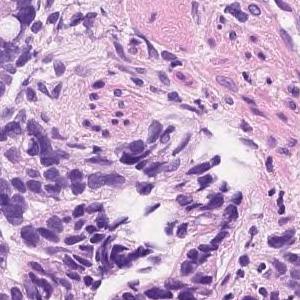
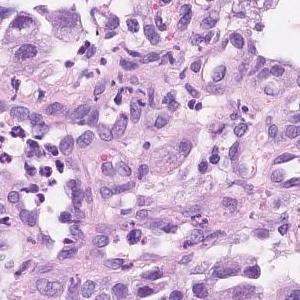
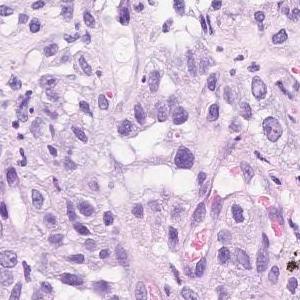
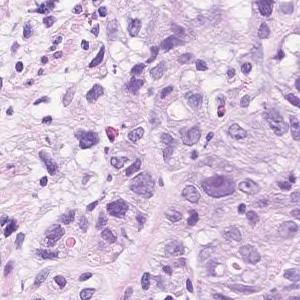
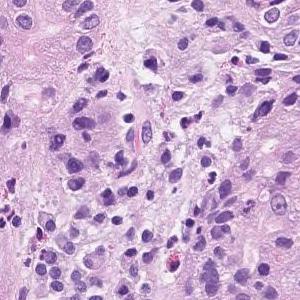
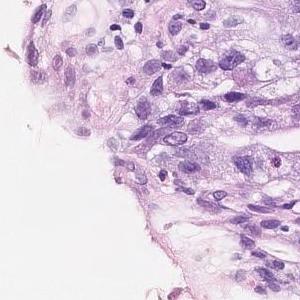
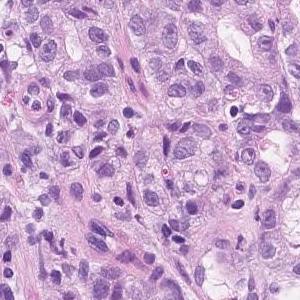
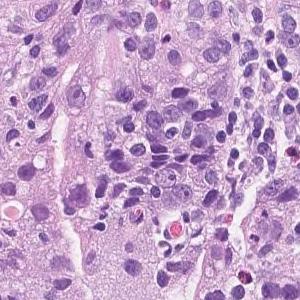
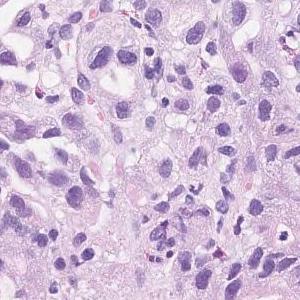
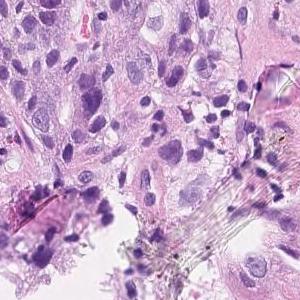
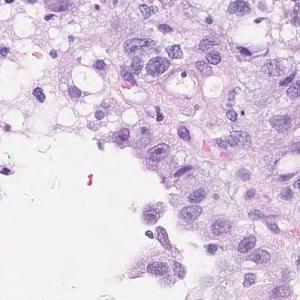
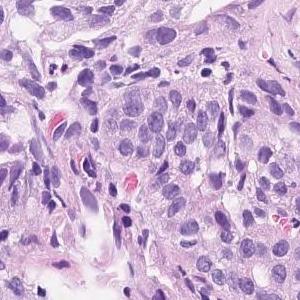
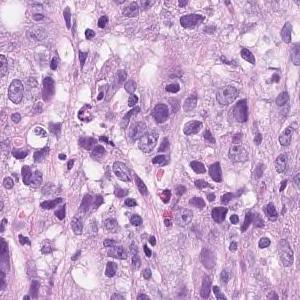
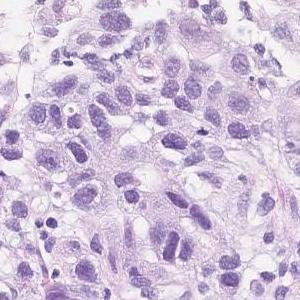
14 tiles from the same stomach biopsy slide · each 300 × 300 pixels.
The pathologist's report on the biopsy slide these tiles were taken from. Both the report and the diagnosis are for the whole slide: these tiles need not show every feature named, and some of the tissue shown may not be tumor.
In the superficial epithelium, tumor tissue that invades by forming medium-sized to small, irregular ducts is observed. Moderately to poorly differentiated adenocarcinoma
